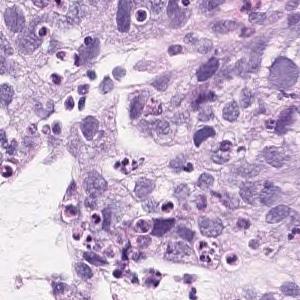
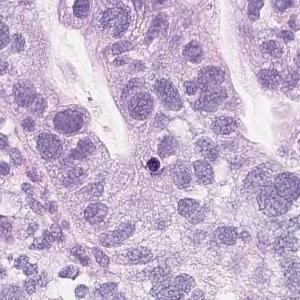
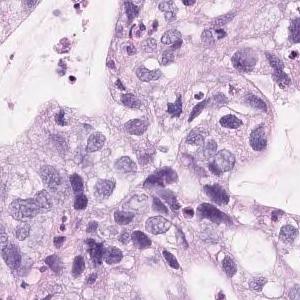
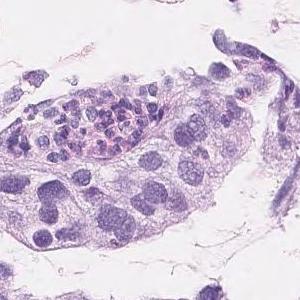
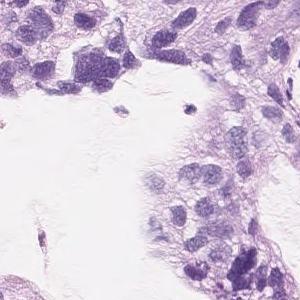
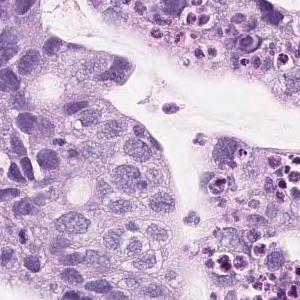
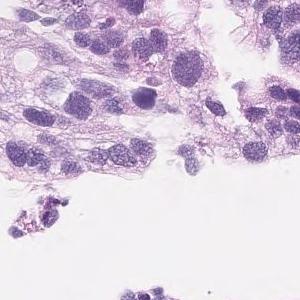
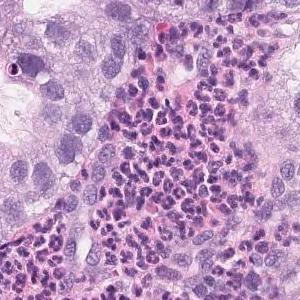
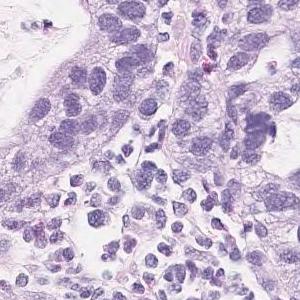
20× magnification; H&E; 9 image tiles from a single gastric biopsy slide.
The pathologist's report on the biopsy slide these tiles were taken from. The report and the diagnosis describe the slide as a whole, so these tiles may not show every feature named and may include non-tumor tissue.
On the superficial epithelium, tumor tissue consisting of large, irregular glandular ducts partially fused and infiltrated is observed. Well to moderately differentiated tubular adenocarcinoma (well differentiated tubular adenocarcinoma, moderately differentiated tubular adenocarcinoma)
Subtype: Well to moderately differentiated tubular adenocarcinoma.
